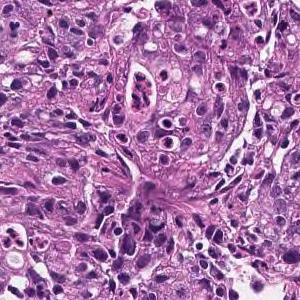
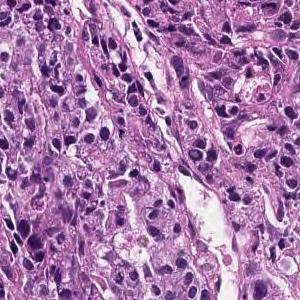
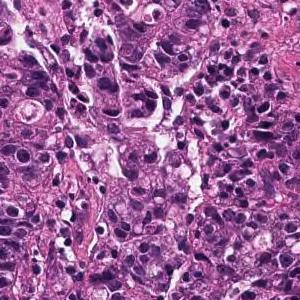
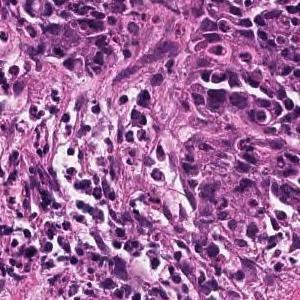
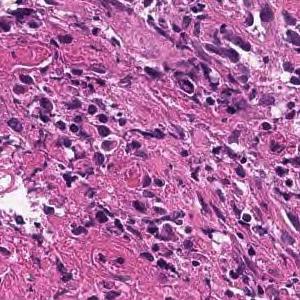
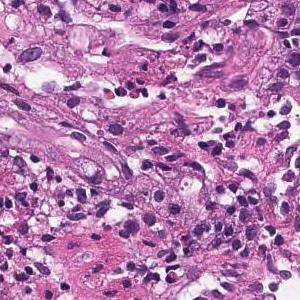
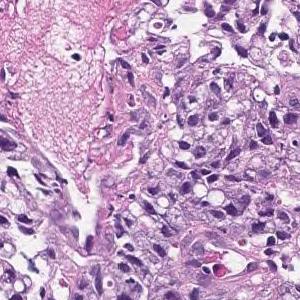
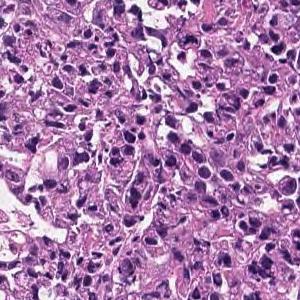
H&E, ×20, 8 patches cut from one gastric biopsy slide, each 300 × 300 pixels.
The pathologist's report on the biopsy slide these tiles were taken from. The report and the diagnosis describe the slide as a whole, so these tiles may not show every feature named and may include non-tumor tissue.
Medium to small, irregular glandular ducts are formed in the superficial epithelium, and in some cases, the glandular ducts are fused to show solid alveolar lesions and infiltrating tumor tissue is observed. Moderately to poorly differentiated adenocarcinoma.
